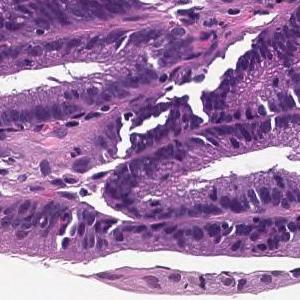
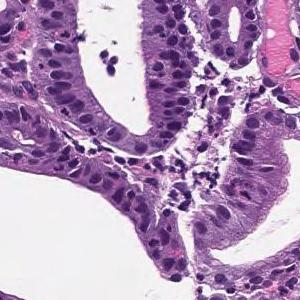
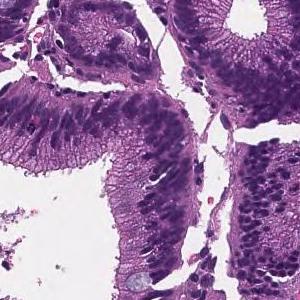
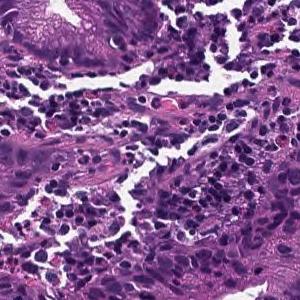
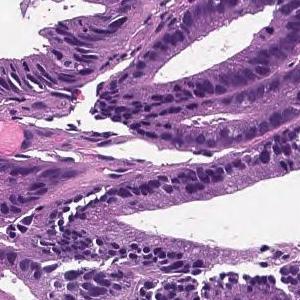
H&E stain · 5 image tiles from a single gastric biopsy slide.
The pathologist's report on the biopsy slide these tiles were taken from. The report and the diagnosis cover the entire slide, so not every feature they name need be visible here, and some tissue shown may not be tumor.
From the superficial epithelium to the muscularis mucosae, tumor tissue consisting of medium-sized and irregular glandular ducts infiltrating is observed. Well differentiated tubular adenocarcinoma
